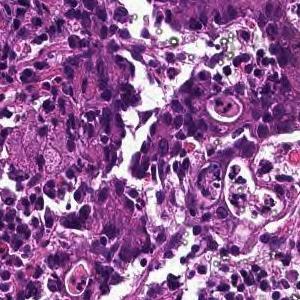
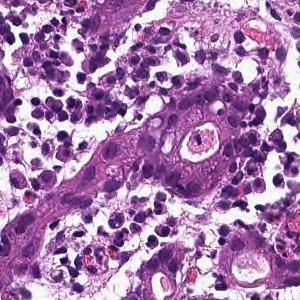
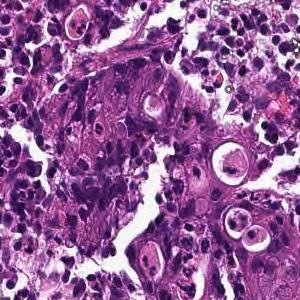
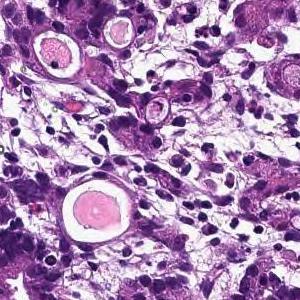
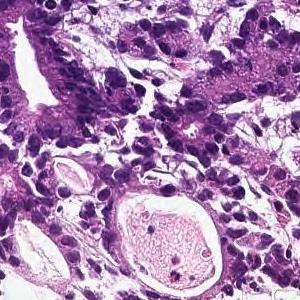
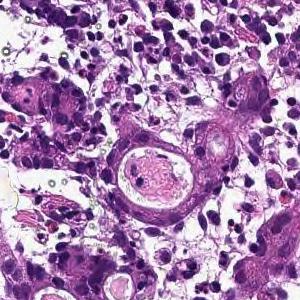
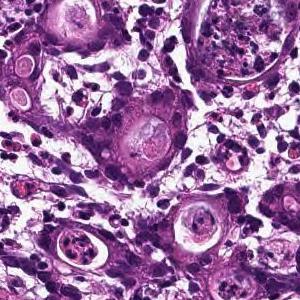
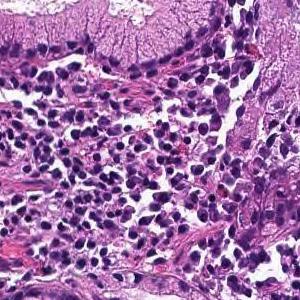
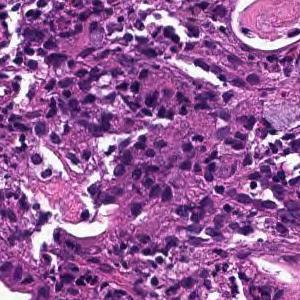
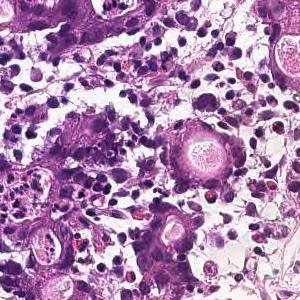
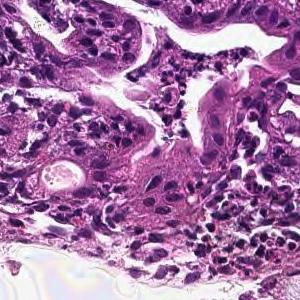
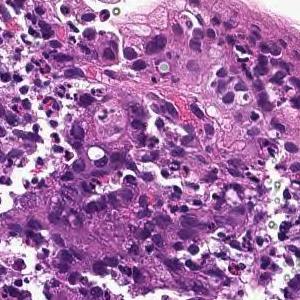
×20; 12 patches cut from one gastric biopsy slide; 300 × 300 pixels each.
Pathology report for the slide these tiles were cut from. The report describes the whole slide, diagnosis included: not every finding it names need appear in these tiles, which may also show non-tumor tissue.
In the superficial epithelium, tumor tissue that invades by forming medium-sized to small, irregular ducts is observed. moderately differentiated tubular adenocarcinoma.
